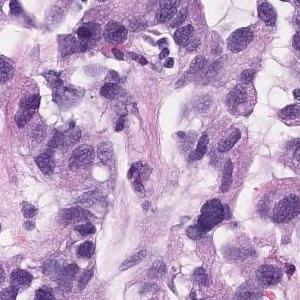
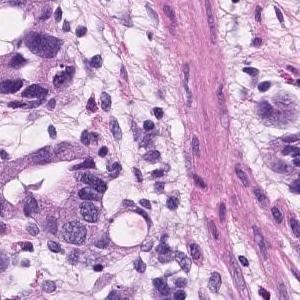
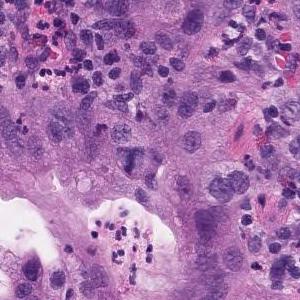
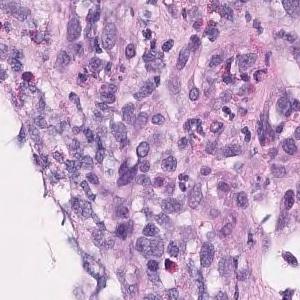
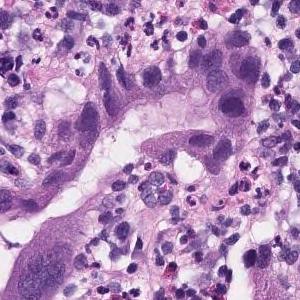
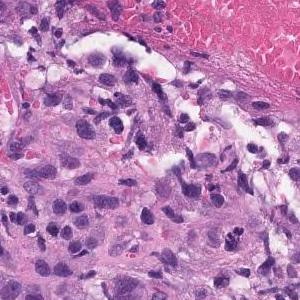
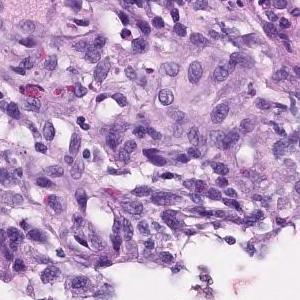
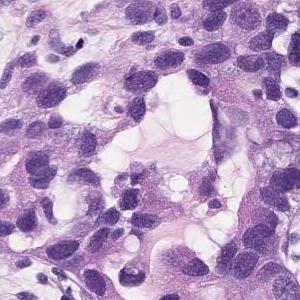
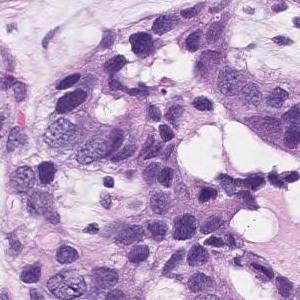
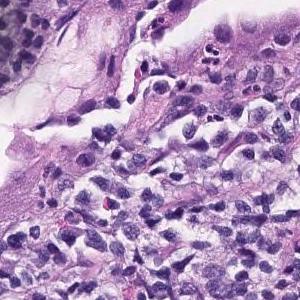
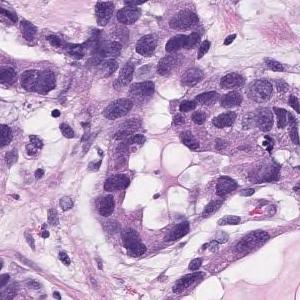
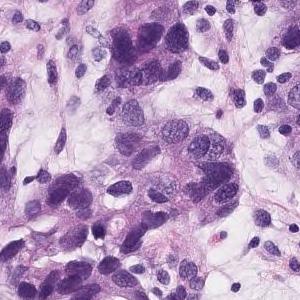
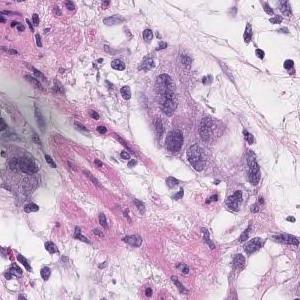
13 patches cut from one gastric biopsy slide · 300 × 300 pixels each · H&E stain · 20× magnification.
Diagnostic report for the slide these tiles come from. The report describes the whole slide, diagnosis included: not every finding it names need appear in these tiles, which may also show non-tumor tissue.
Group 5, Adenocarcinoma. Moderately to poorly differentiated adenocarcinoma
